H&E stain, 14 tiles cut from one stomach biopsy slide.
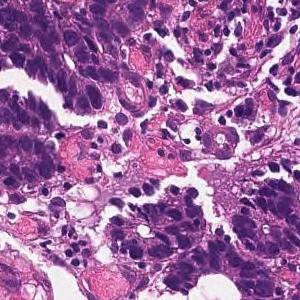
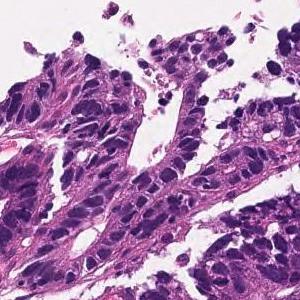
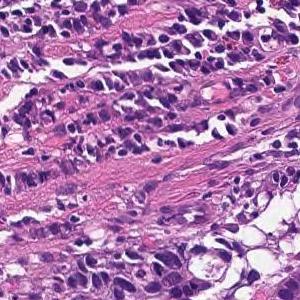
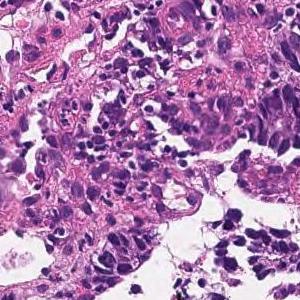
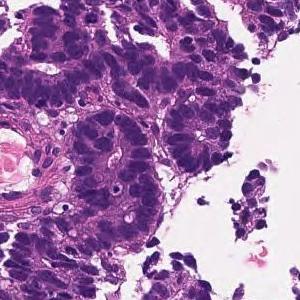
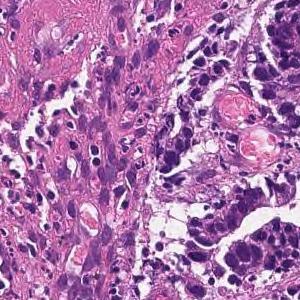
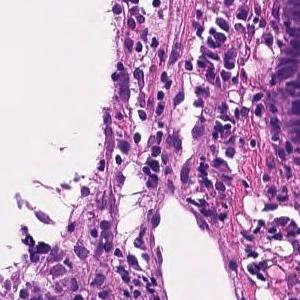
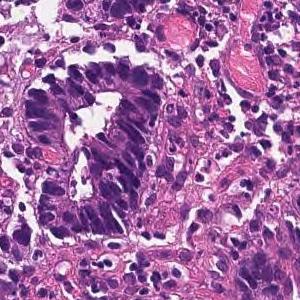
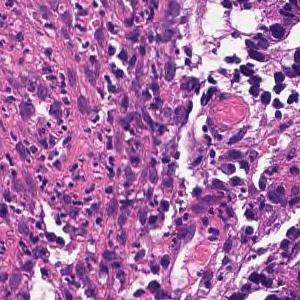
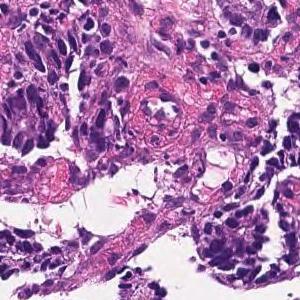
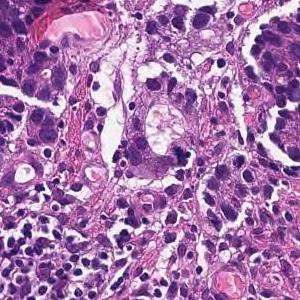
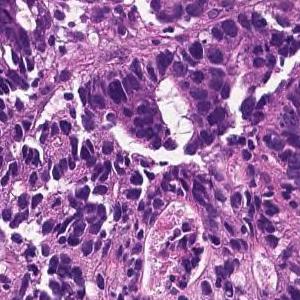
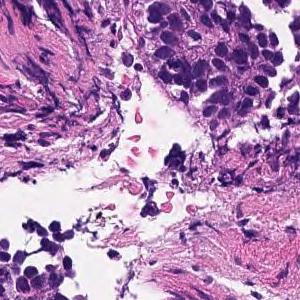
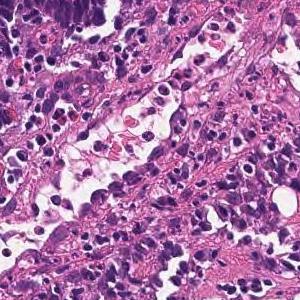
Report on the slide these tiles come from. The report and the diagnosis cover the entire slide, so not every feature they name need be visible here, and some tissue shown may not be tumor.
In the superficial epithelium, tumor tissue that invades by forming medium-sized to small, irregular ducts is observed. Moderately differentiated adenocarcinoma (moderately differentiated tubular adenocarcinoma).
Classified as moderately differentiated tubular adenocarcinoma.
